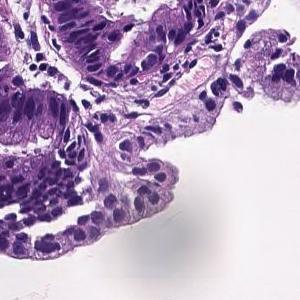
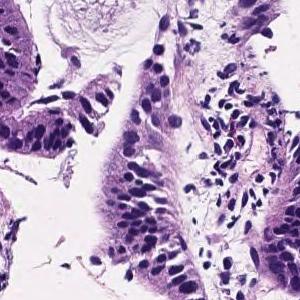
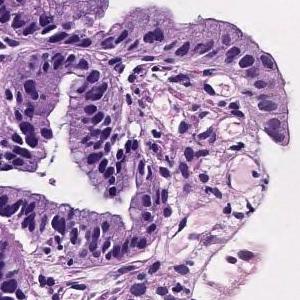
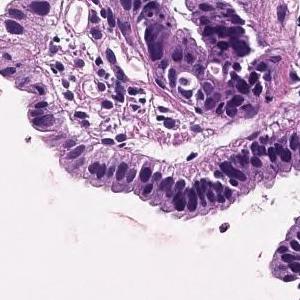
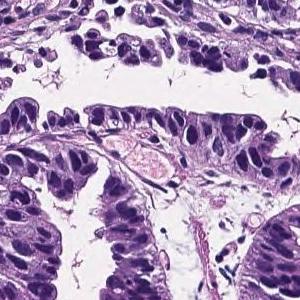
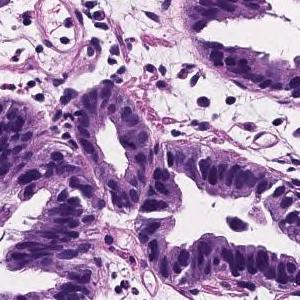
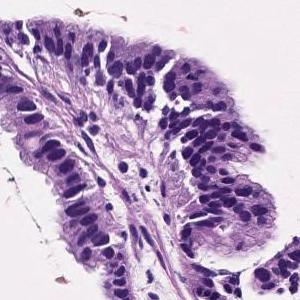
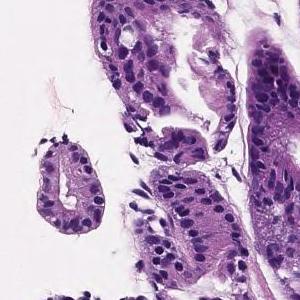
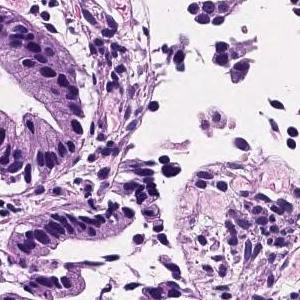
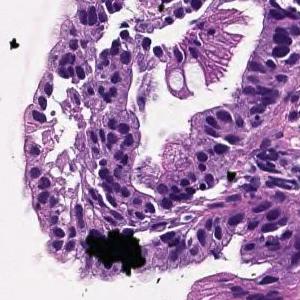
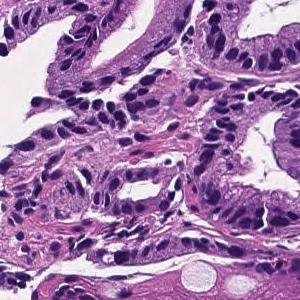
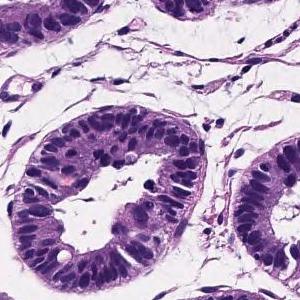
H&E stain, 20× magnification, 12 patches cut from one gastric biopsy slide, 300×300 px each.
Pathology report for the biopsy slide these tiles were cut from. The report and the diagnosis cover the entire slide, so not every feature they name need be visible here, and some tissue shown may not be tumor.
Tumor cells are large, highly columnar, large club-shaped nuclei, and are associated with chromatin aggregation. Papillary adenocarcinoma.
